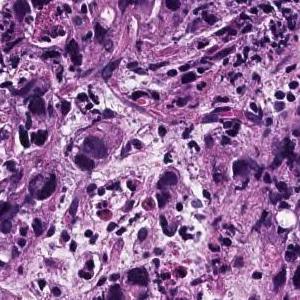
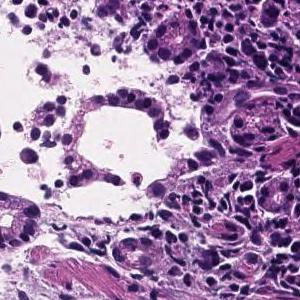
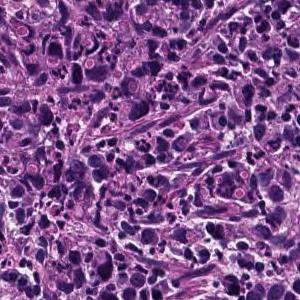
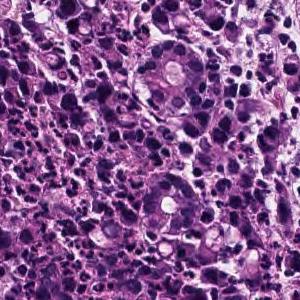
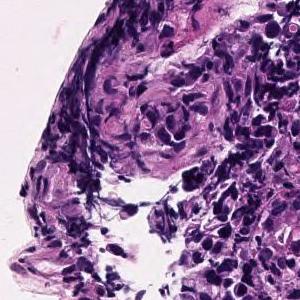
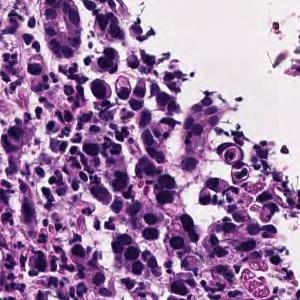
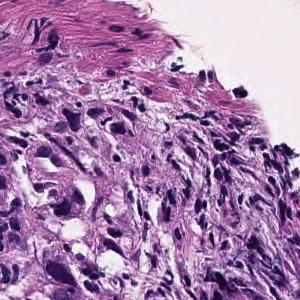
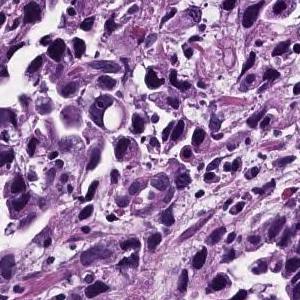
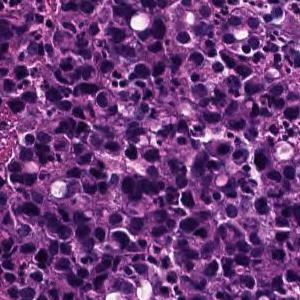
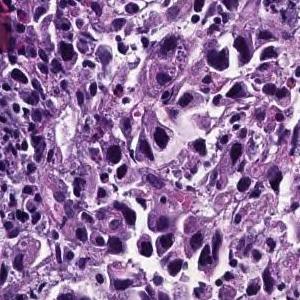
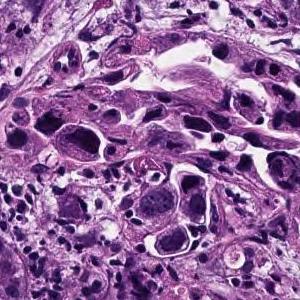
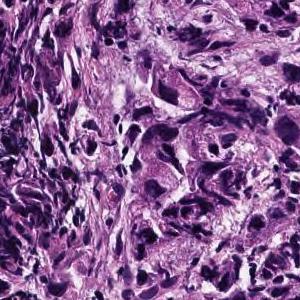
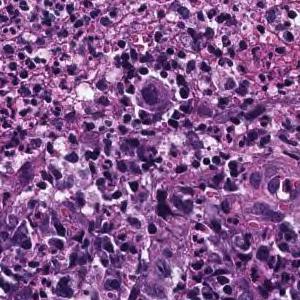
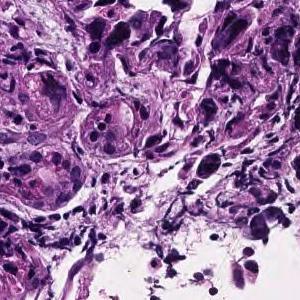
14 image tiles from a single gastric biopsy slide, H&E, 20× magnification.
The pathologist's report on the biopsy slide these tiles were taken from. The findings and the diagnosis refer to the entire slide; these tiles show only part of it, possibly with non-tumor tissue, and may not show every feature named.
The superficial epithelium shows a large sheet-like shape, and some tumor tissue infiltrates with small irregular ducts. Poorly differentiated adenocarcinoma, solid-type
Histologic type: Poorly differentiated adenocarcinoma, solid type, a category of the Japanese Classification of Gastric Carcinoma; in the WHO 2019 classification it is tubular adenocarcinoma, poorly differentiated.
